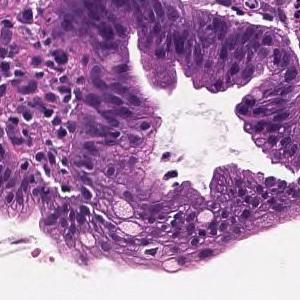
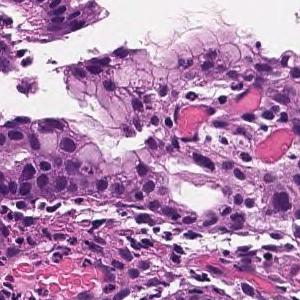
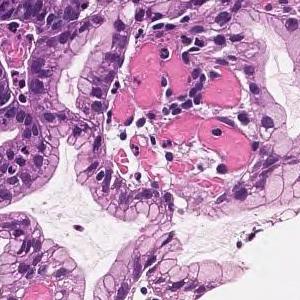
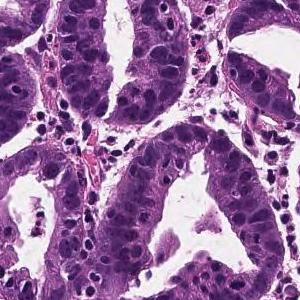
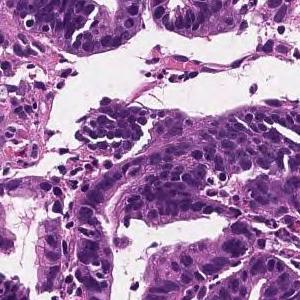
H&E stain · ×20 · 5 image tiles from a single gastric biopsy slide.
Diagnostic report for the slide these tiles come from. The report and the diagnosis cover the entire slide, so not every feature they name need be visible here, and some tissue shown may not be tumor.
On the superficial epithelium, tumor tissue consisting of medium-sized irregular or small round gland ducts showing a small cord-like shape and infiltrating is observed. Well differentiated tubular adenocarcinoma or Poorly differentiated adenocarcinoma, non-solid type
Dataset label: well differentiated tubular adenocarcinoma.
The term "non-solid type" comes from the Japanese Classification of Gastric Carcinoma.
